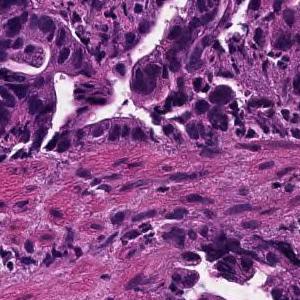
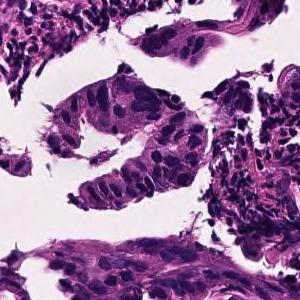
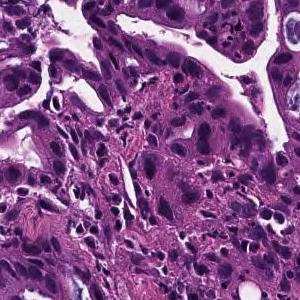
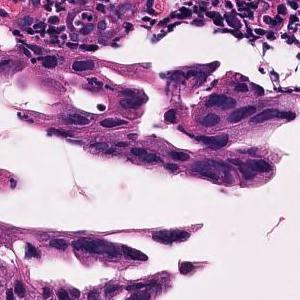
4 tiles cut from one stomach biopsy slide · 20× magnification · H&E.
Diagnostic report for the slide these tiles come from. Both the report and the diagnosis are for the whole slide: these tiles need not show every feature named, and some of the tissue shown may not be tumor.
In the superficial epithelium, medium-sized to small irregular glandular ducts are formed, and in some cases, the glandular ducts are fused or small cord-like infiltrating tumor tissue is observed. moderately differentiated tubular adenocarcinoma
